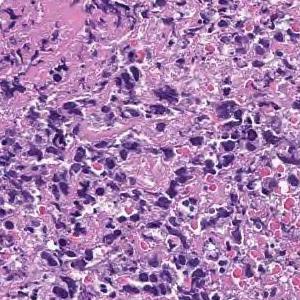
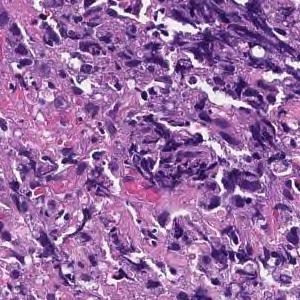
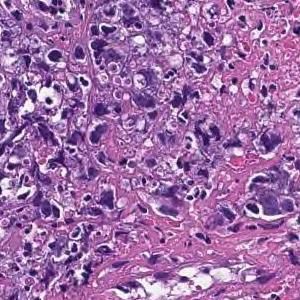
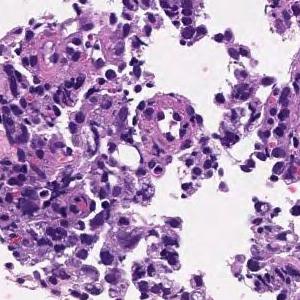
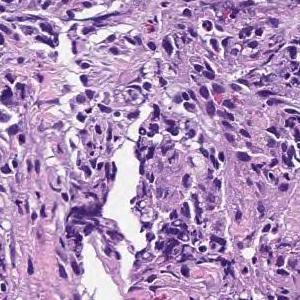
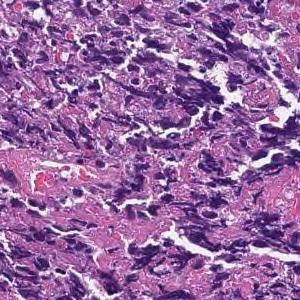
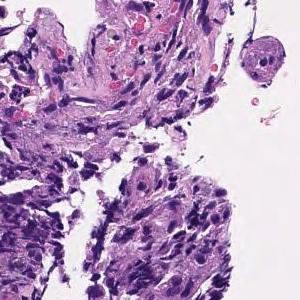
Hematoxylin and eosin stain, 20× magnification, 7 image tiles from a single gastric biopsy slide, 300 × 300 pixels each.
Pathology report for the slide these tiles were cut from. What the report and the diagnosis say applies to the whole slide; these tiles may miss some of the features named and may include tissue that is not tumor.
Most are composed of coagulative necrotic tissue, but some show a large sheet-like shape, and some show tumor tissue infiltrating with a small cord-like structure. Poorly differentiated adenocarcinoma, solid-type
Tumor subtype: poorly differentiated adenocarcinoma, solid type. This name comes from the Japanese Classification of Gastric Carcinoma; the WHO 2019 classification calls it tubular adenocarcinoma, poorly differentiated.
